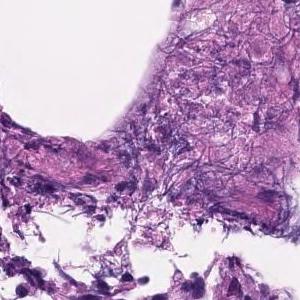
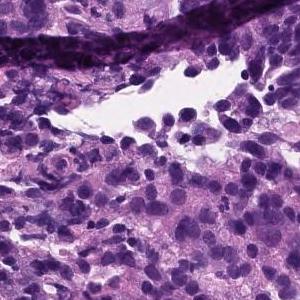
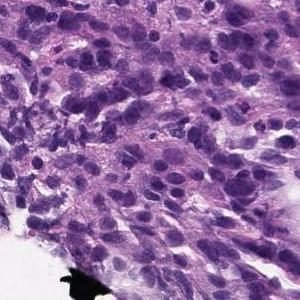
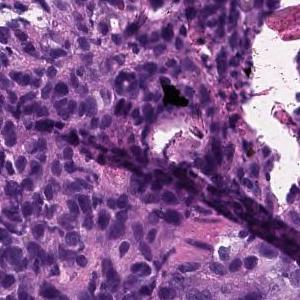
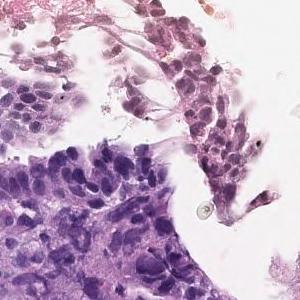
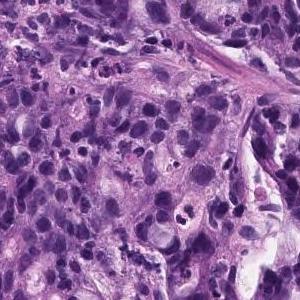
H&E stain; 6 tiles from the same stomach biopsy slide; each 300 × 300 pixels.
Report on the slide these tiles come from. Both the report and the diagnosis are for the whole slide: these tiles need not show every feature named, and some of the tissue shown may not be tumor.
Group 5, Adenocarcinoma. Poorly differentiated adenocarcinoma, non-solid type
"Non-solid type" is a category of the Japanese Classification of Gastric Carcinoma.
